11 tiles cut from one stomach biopsy slide; each 300 × 300 pixels; 20× magnification; H&E.
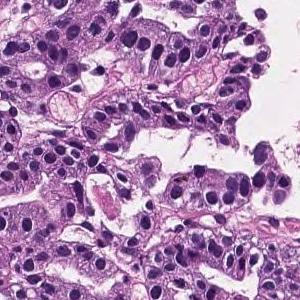
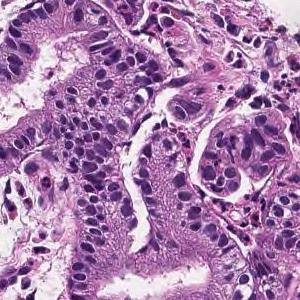
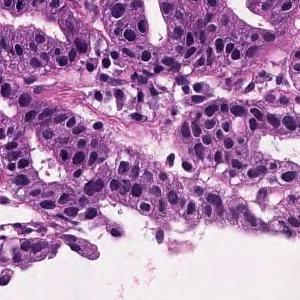
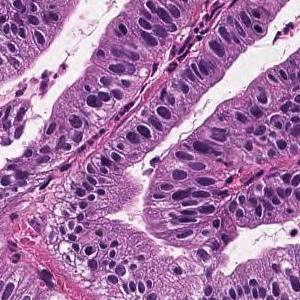
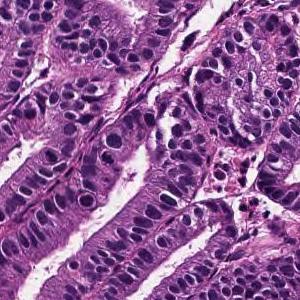
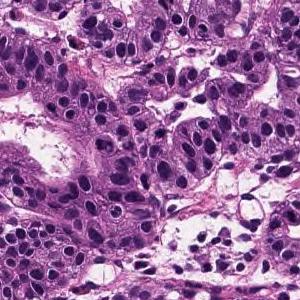
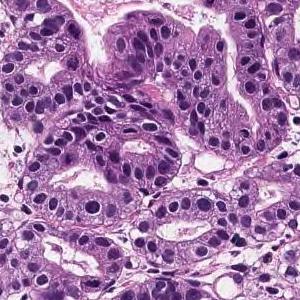
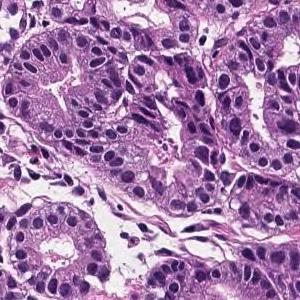
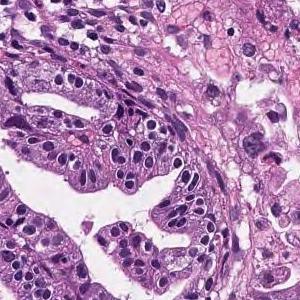
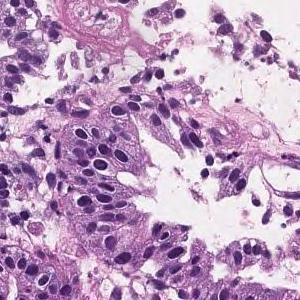
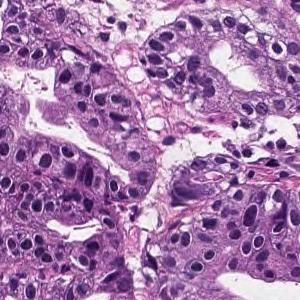
Pathology report for the slide these tiles were cut from. The findings and the diagnosis refer to the entire slide; these tiles show only part of it, possibly with non-tumor tissue, and may not show every feature named.
On the superficial epithelium, tumor tissue that infiltrates by forming medium-sized round or small irregular ducts is observed. Papillary adenocarcinoma
